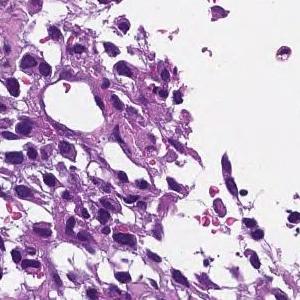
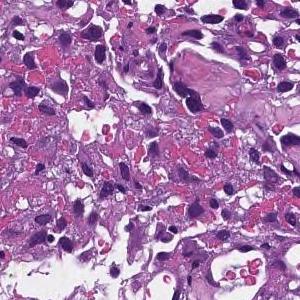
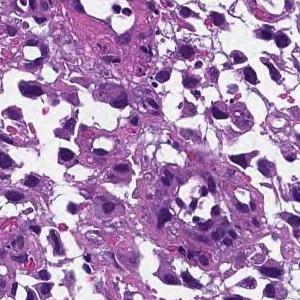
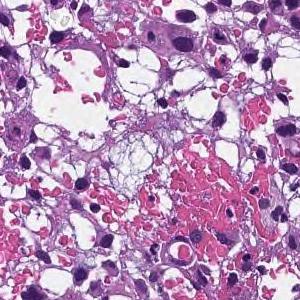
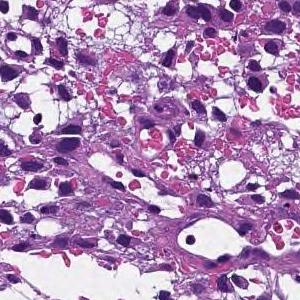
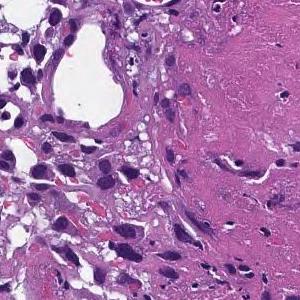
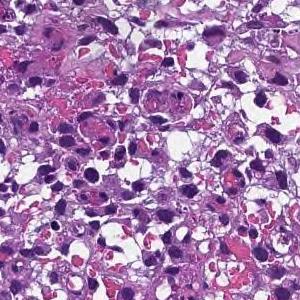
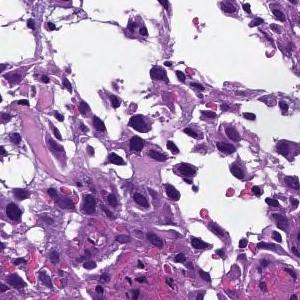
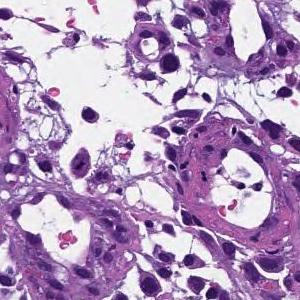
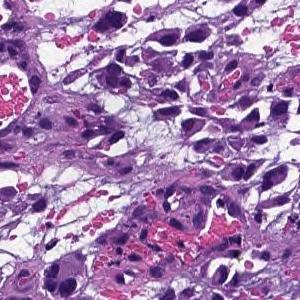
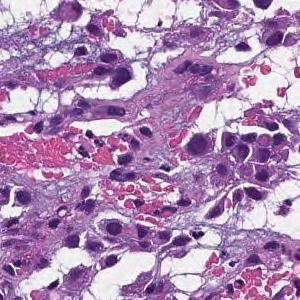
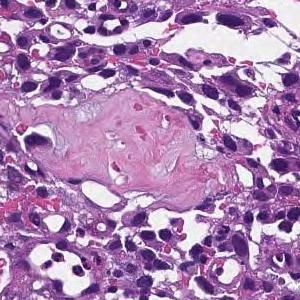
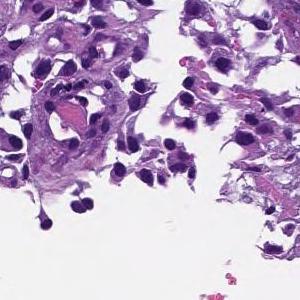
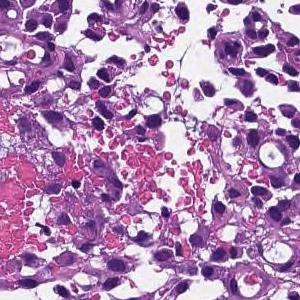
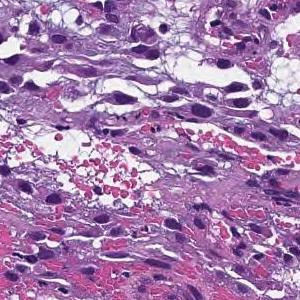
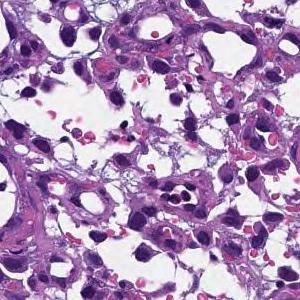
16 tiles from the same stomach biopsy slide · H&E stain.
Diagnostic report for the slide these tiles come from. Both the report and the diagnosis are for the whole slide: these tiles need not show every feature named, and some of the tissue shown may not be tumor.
Tumor tissue consisting of cord-like or small, irregular glandular ducts fused and infiltrated is observed in the superficial epithelium. Poorly differentiated adenocarcinoma, non-solid type
The non-solid type named here is a Japanese Classification of Gastric Carcinoma category.
